×20, 14 image tiles from a single gastric biopsy slide.
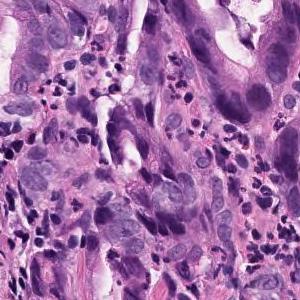
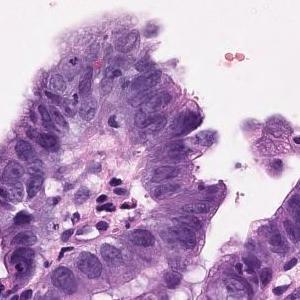
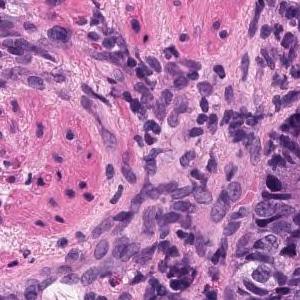
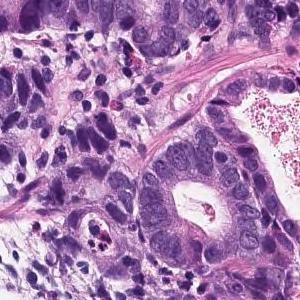
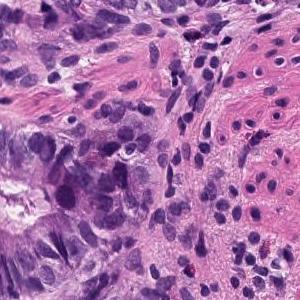
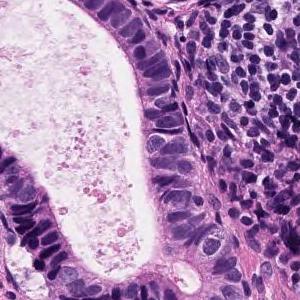
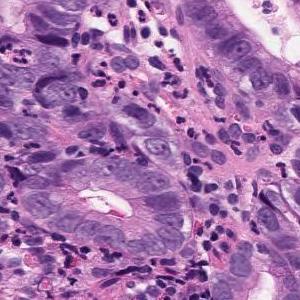
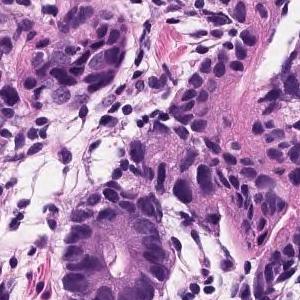
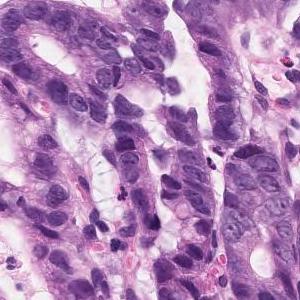
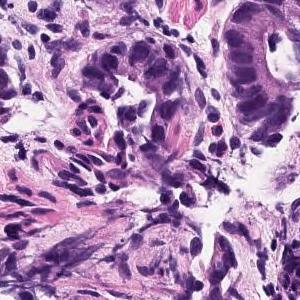
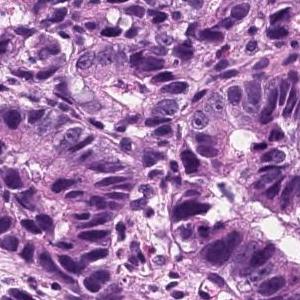
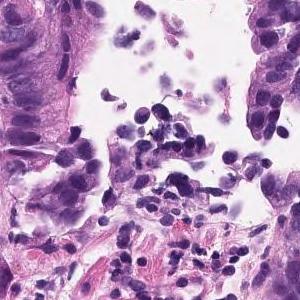
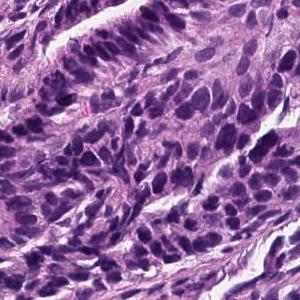
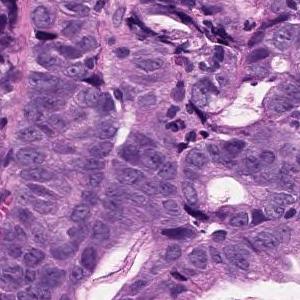
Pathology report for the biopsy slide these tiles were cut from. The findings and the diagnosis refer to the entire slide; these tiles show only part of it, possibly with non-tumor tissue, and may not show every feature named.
The swollen atypical epithelium of the nucleus forms an irregular ductal structure and proliferates. moderately differentiated tubular adenocarcinoma
